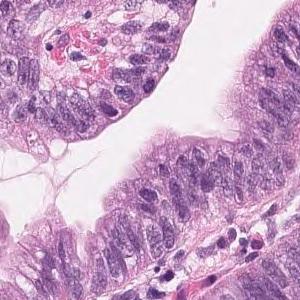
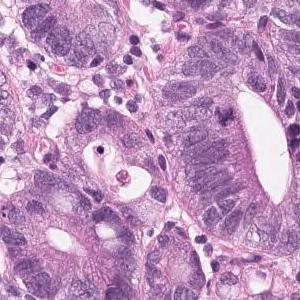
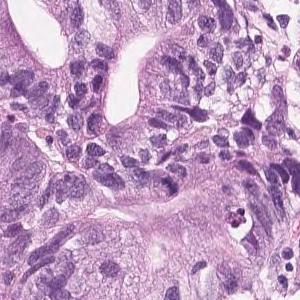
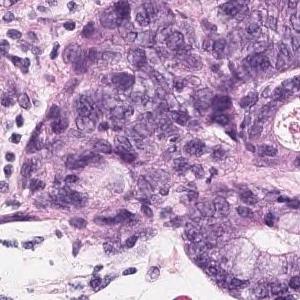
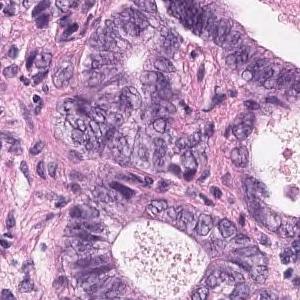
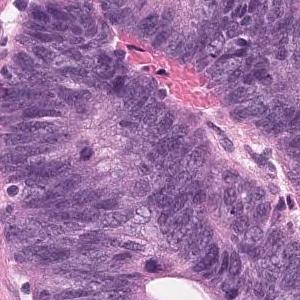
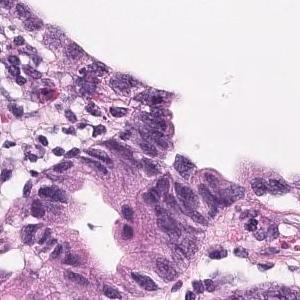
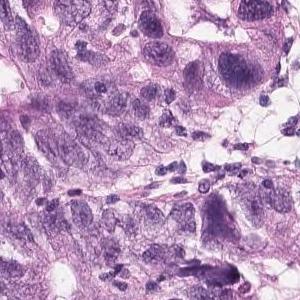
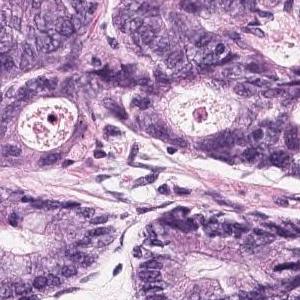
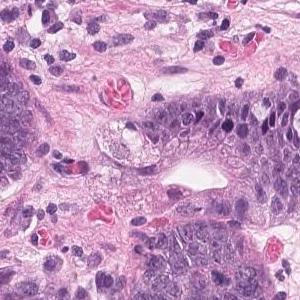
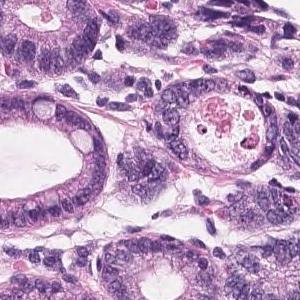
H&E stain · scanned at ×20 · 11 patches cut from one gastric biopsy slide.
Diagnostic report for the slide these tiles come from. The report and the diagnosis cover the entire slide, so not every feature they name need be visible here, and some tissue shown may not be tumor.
Atypical ducts with severe atypia are densely populated in the superficial epithelium, and tumor tissue with hyperplasia is observed. Well differentiated tubular adenocarcinoma
